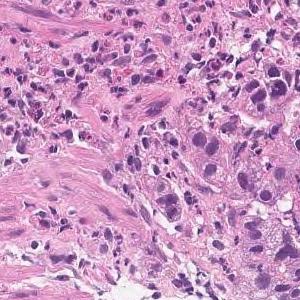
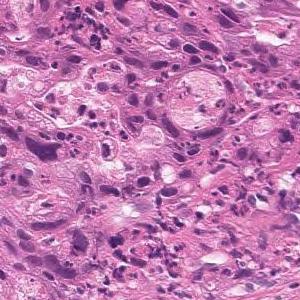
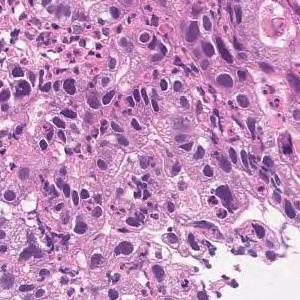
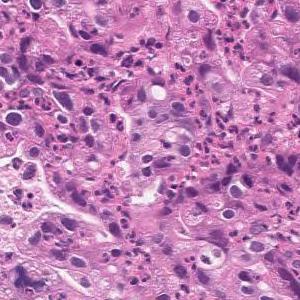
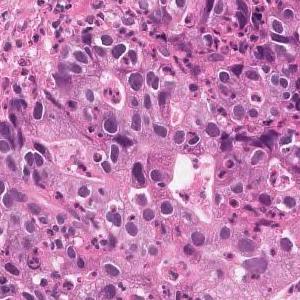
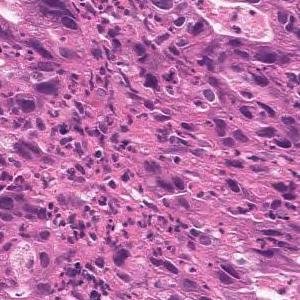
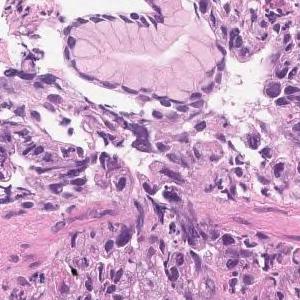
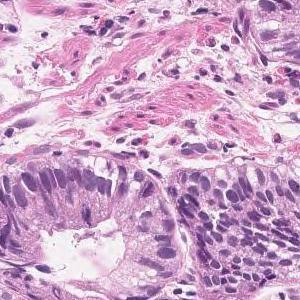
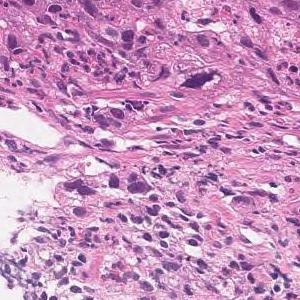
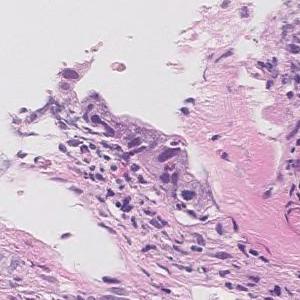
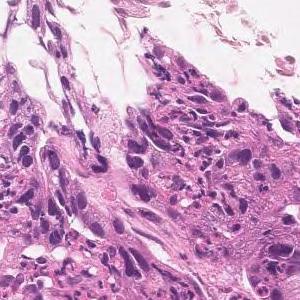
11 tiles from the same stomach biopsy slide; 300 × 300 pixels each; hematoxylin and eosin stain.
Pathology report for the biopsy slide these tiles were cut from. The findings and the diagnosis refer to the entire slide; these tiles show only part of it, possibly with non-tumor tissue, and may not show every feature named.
In the superficial epithelium, tumor tissue that invades by forming medium-sized to small, irregular ducts is observed. Moderately differentiated adenocarcinoma.
Classified as moderately differentiated tubular adenocarcinoma.
